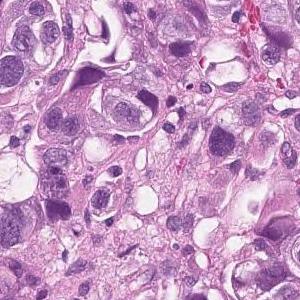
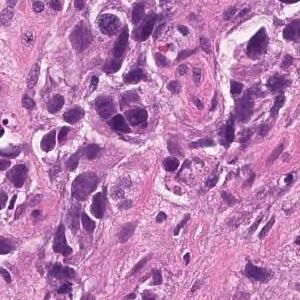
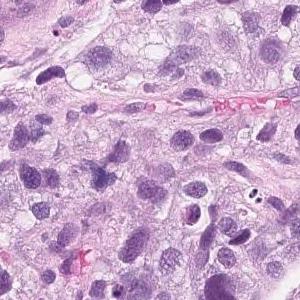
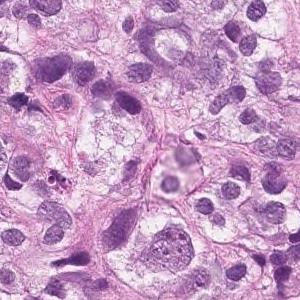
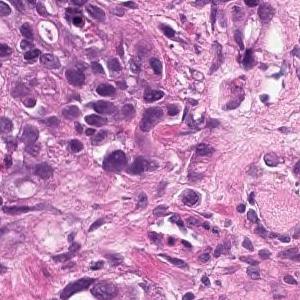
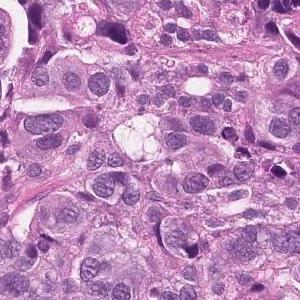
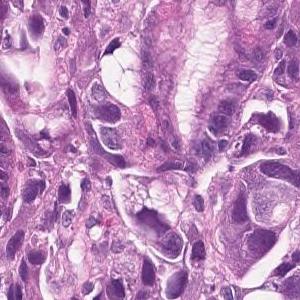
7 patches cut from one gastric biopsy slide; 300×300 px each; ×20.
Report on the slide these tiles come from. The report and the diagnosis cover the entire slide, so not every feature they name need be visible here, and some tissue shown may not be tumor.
Tumor tissue that infiltrates the epithelium in an alveolar manner. Poorly differentiated adenocarcinoma, solid-type
Histological subtype: Poorly differentiated adenocarcinoma, solid type, a category of the Japanese Classification of Gastric Carcinoma; in the WHO 2019 classification it is tubular adenocarcinoma, poorly differentiated.
